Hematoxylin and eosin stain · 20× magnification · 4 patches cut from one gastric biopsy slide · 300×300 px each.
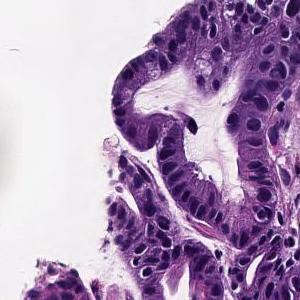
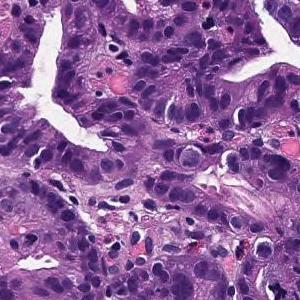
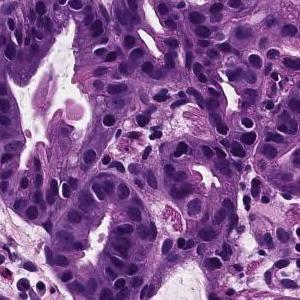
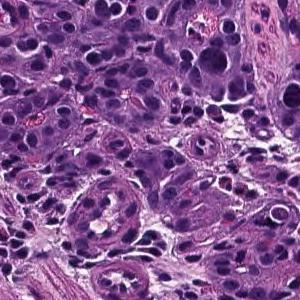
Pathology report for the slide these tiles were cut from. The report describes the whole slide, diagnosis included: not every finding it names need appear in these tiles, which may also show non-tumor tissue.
From the superficial epithelium to the muscularis mucosae, tumor tissue consisting of medium-sized and irregular glandular ducts infiltrating is observed. Well differentiated tubular adenocarcinoma
